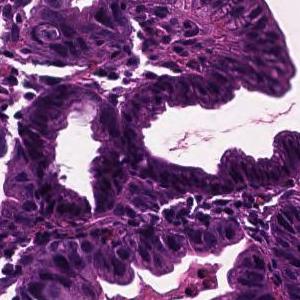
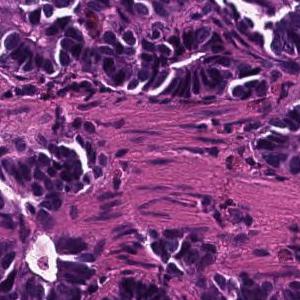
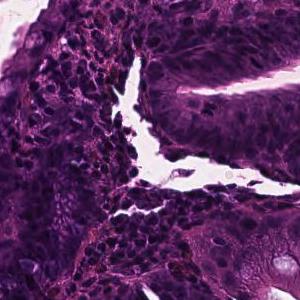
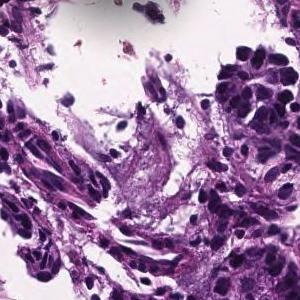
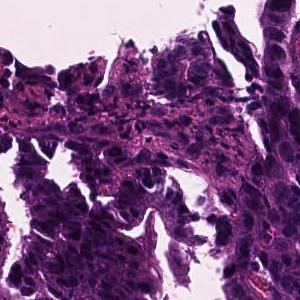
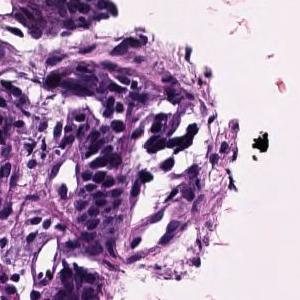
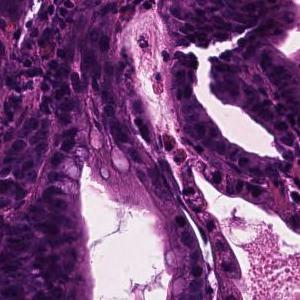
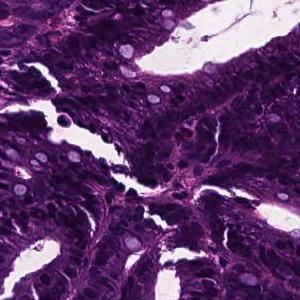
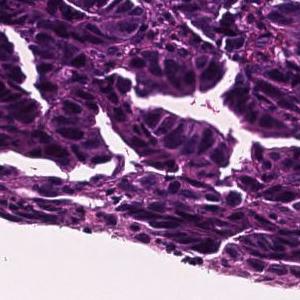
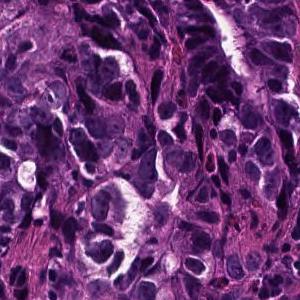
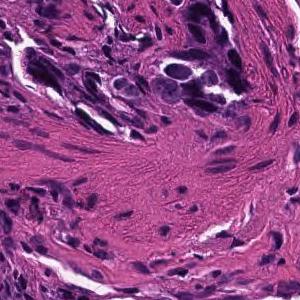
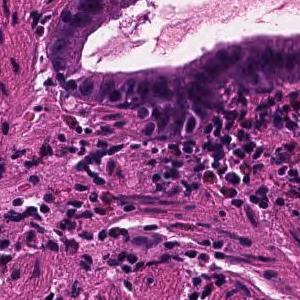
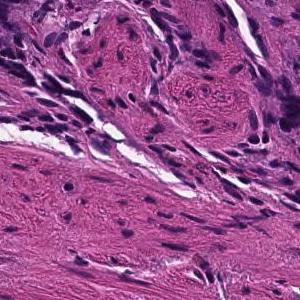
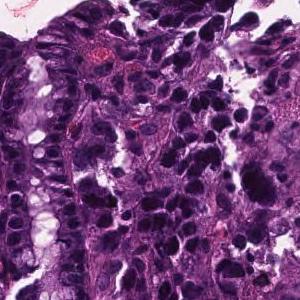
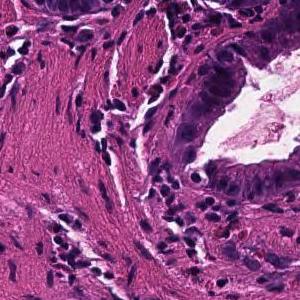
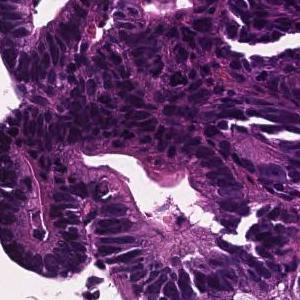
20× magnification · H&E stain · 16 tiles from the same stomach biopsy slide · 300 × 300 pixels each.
Diagnostic report for the slide these tiles come from. The findings and the diagnosis refer to the entire slide; these tiles show only part of it, possibly with non-tumor tissue, and may not show every feature named.
In the superficial epithelium, tumor tissue that invades by forming medium-sized to small, irregular ducts is observed. moderately differentiated tubular adenocarcinoma.
